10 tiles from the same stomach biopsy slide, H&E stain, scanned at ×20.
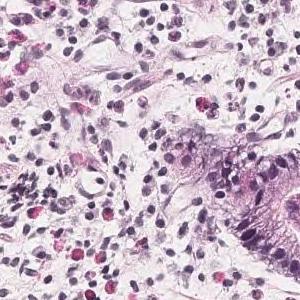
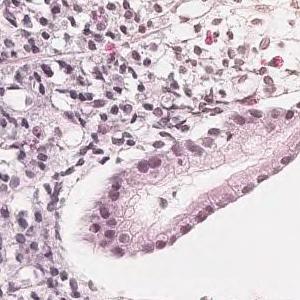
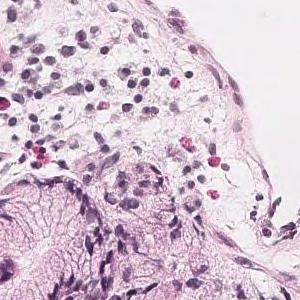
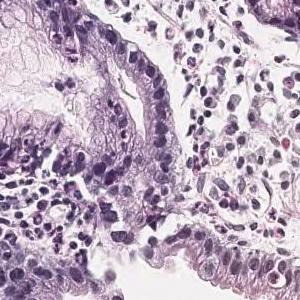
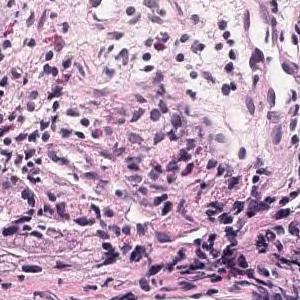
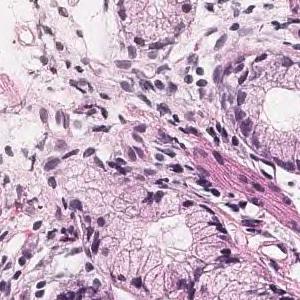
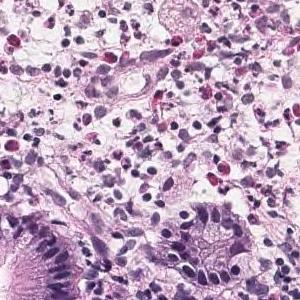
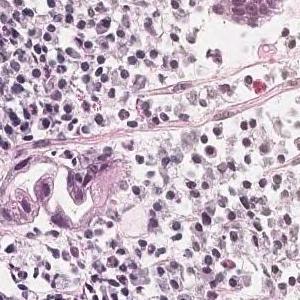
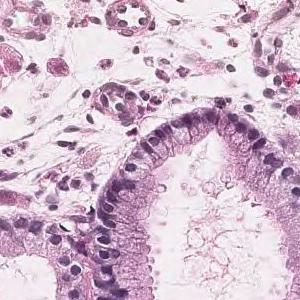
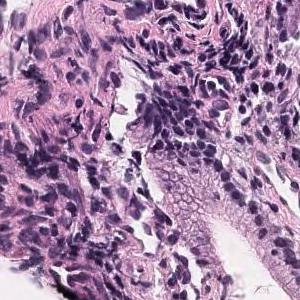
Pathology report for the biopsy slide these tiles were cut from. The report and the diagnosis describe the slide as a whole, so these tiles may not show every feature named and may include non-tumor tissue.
Tumor tissue is observed in which atypical epithelial cells with mucus in the vesicles proliferate while being isolated. Signet ring cell carcinoma
